6 tiles from the same stomach biopsy slide; ×20; hematoxylin and eosin stain.
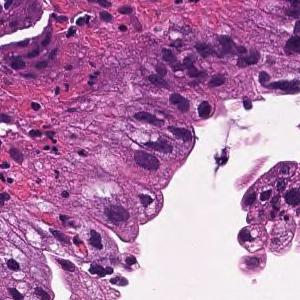
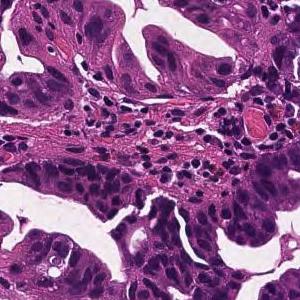
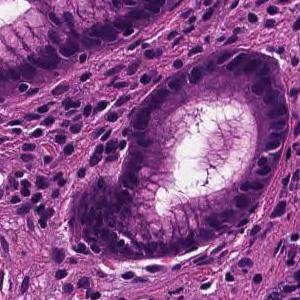
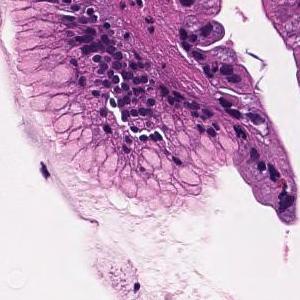
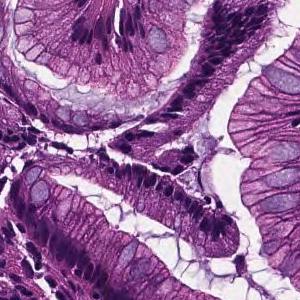
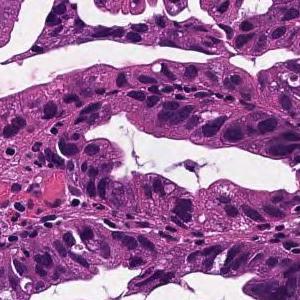
Report on the slide these tiles come from. The findings and the diagnosis refer to the entire slide; these tiles show only part of it, possibly with non-tumor tissue, and may not show every feature named.
From the superficial epithelium to the muscularis mucosae, tumor tissue consisting of medium-sized and irregular glandular ducts infiltrating is observed. Well differentiated tubular adenocarcinoma
